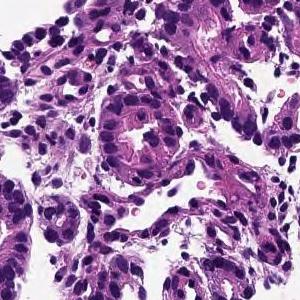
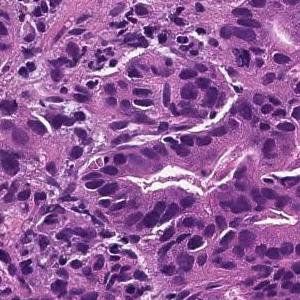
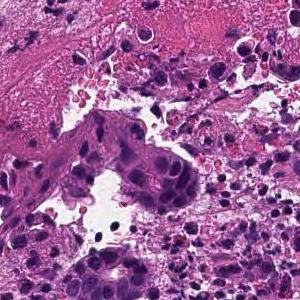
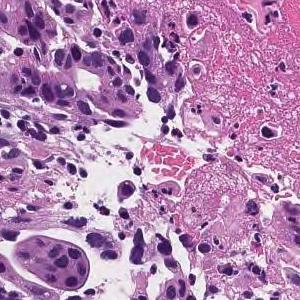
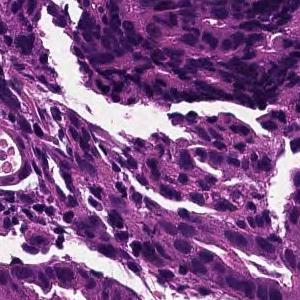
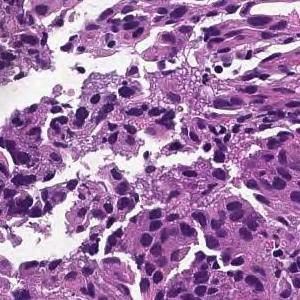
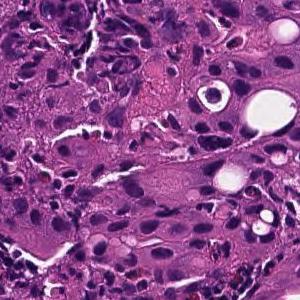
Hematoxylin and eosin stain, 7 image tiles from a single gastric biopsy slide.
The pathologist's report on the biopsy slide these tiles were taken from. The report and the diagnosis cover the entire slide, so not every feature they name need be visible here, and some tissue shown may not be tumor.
In the superficial epithelium, tumor tissue that invades by forming medium-sized to small, irregular ducts is observed. moderately differentiated tubular adenocarcinoma.
